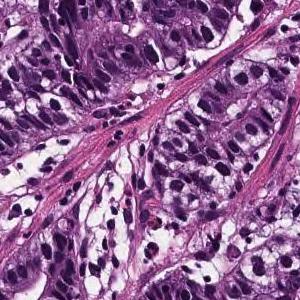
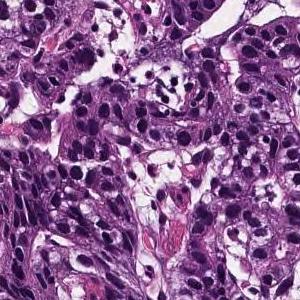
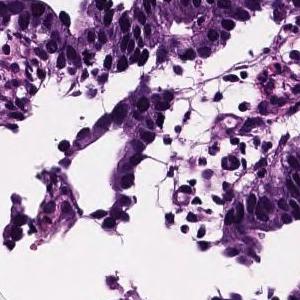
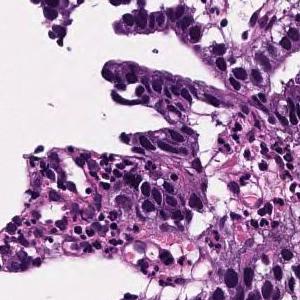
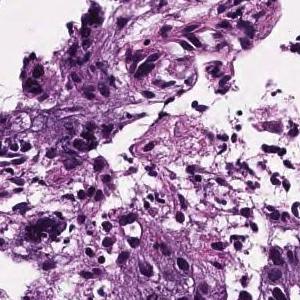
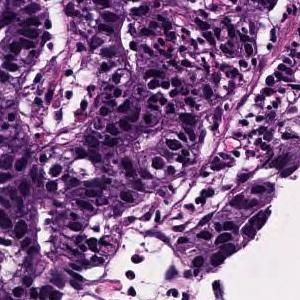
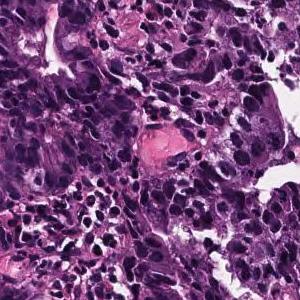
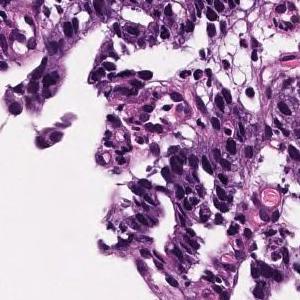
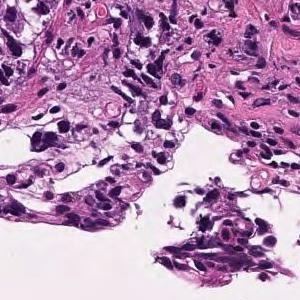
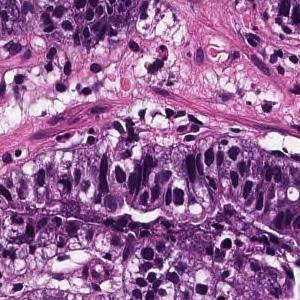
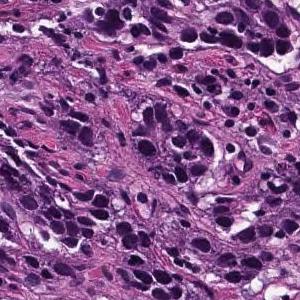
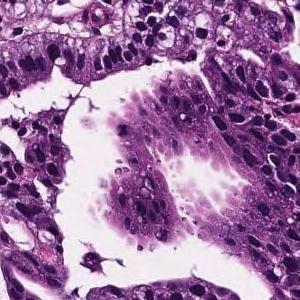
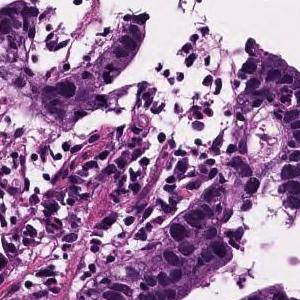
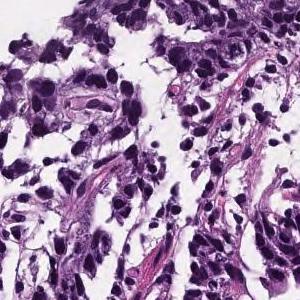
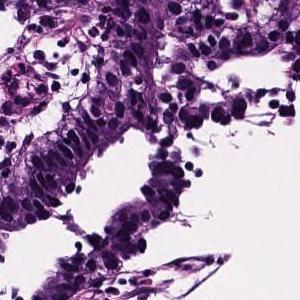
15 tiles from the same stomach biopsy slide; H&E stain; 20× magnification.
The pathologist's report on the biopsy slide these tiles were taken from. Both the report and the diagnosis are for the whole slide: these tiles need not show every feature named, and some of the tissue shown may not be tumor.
Atypical l cells with atypical nuclei forming diffuse or small irregular atypical ducts and growing. Moderately to poorly differentiated adenocarcinoma (poorly differentiated adenocarcinoma, solid type moderately differentiated tubular adenocarcinoma)
Histologic type: Moderately to poorly differentiated adenocarcinoma.
The term "solid type" comes from the Japanese Classification of Gastric Carcinoma; the WHO 2019 equivalent is tubular adenocarcinoma, poorly differentiated.
